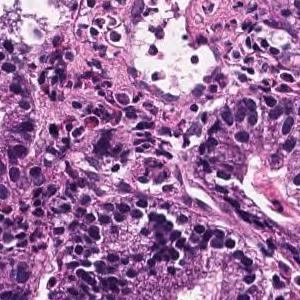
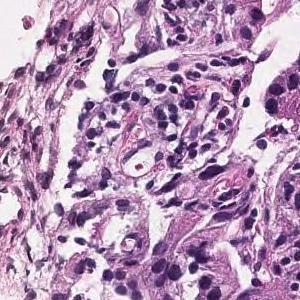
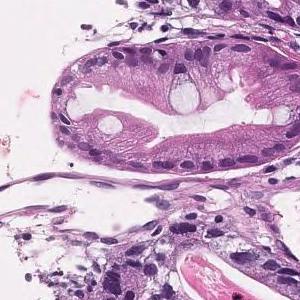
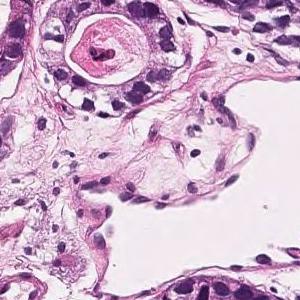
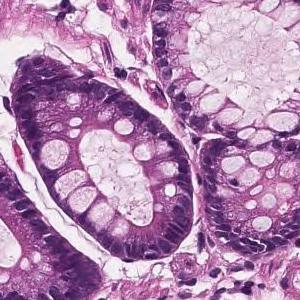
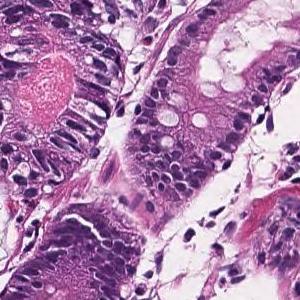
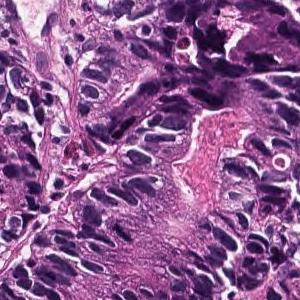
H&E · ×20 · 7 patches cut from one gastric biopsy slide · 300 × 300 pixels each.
Pathology report for the biopsy slide these tiles were cut from. The report and the diagnosis describe the slide as a whole, so these tiles may not show every feature named and may include non-tumor tissue.
Tumor tissue consisting of medium-sized and irregular ducts is observed infiltrating in the superficial epithelium. Tumor cells are highly columnar, with nuclei aligned basolaterally and polarized. Well differentiated tubular adenocarcinoma.
